Scanned at ×20, H&E, 14 patches cut from one gastric biopsy slide.
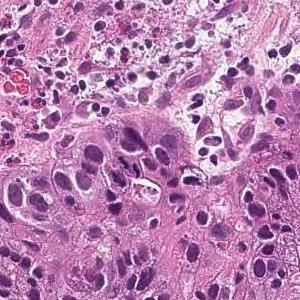
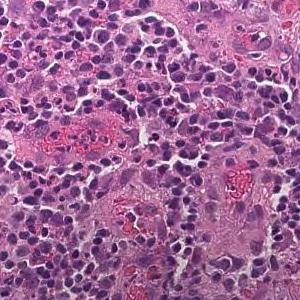
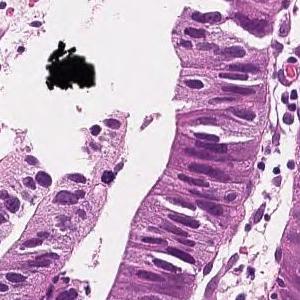
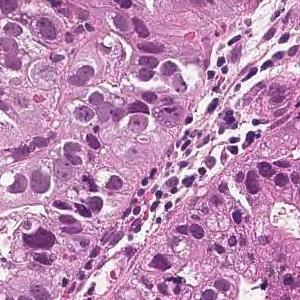
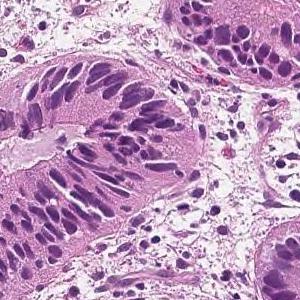
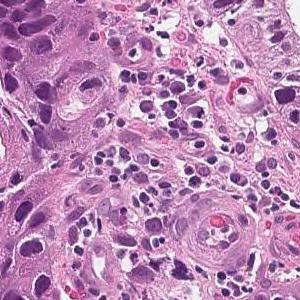
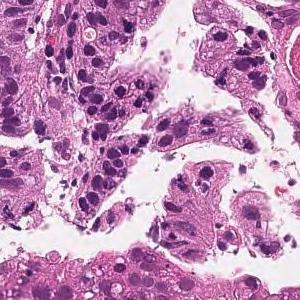
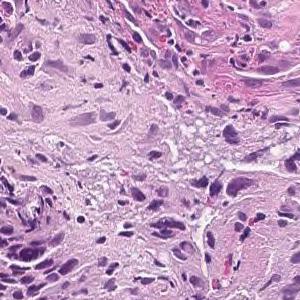
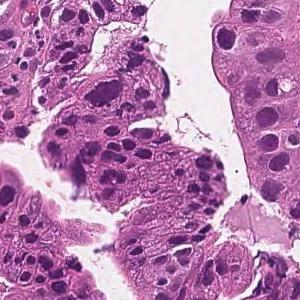
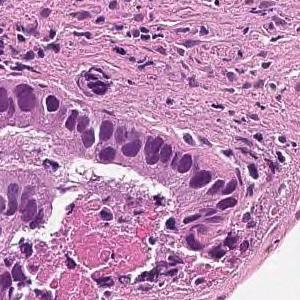
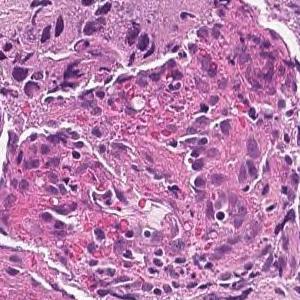
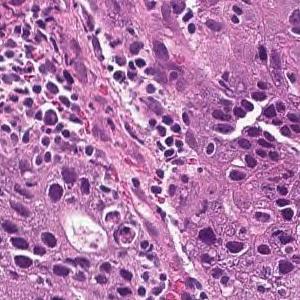
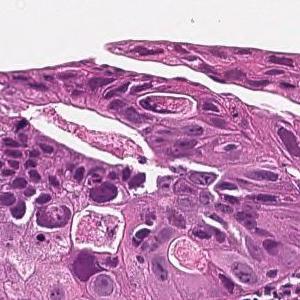
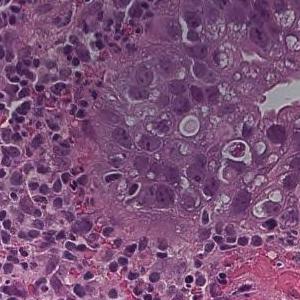
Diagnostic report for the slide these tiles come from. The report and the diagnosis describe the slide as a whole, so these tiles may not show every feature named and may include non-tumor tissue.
In the superficial epithelium, tumor tissue that invades by forming medium-sized to small, irregular ducts is observed. moderately differentiated tubular adenocarcinoma.
